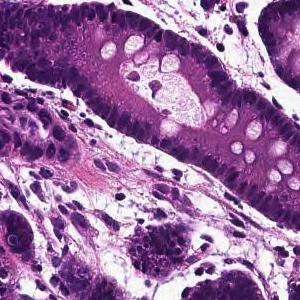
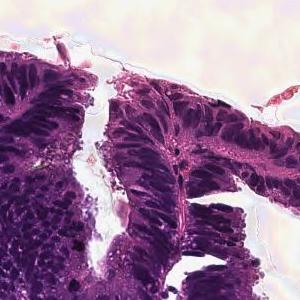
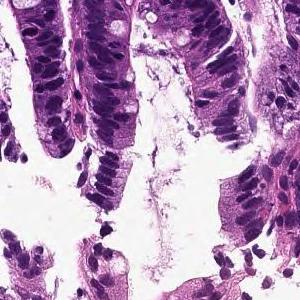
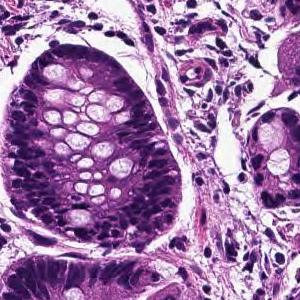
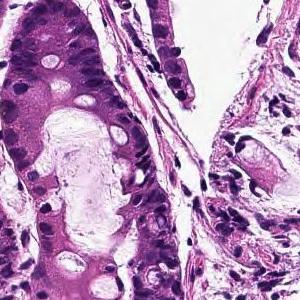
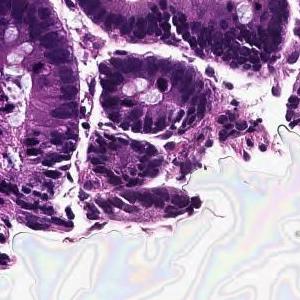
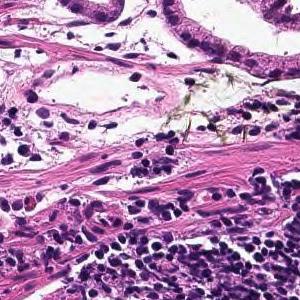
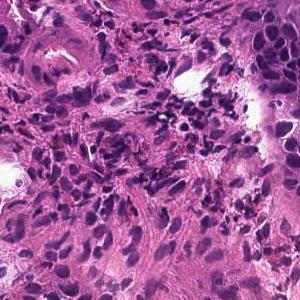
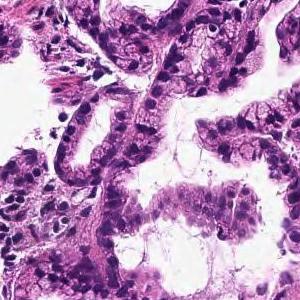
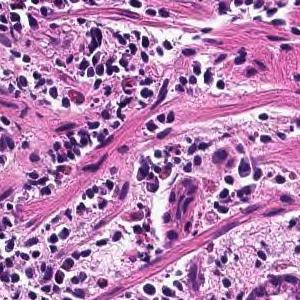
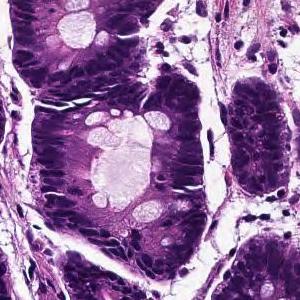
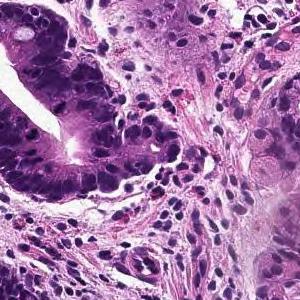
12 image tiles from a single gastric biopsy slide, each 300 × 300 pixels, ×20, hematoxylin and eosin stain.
Report on the slide these tiles come from. The findings and the diagnosis refer to the entire slide; these tiles show only part of it, possibly with non-tumor tissue, and may not show every feature named.
From the superficial epithelium to the muscularis mucosae, tumor tissue consisting of medium-sized and irregular glandular ducts infiltrating is observed. Well differentiated tubular adenocarcinoma
